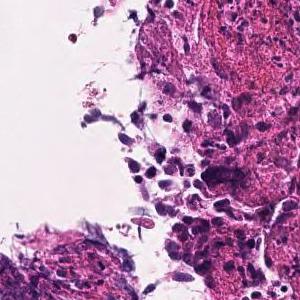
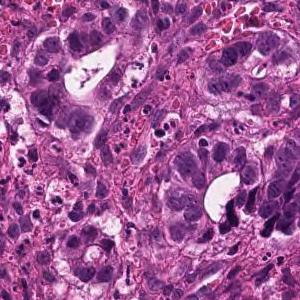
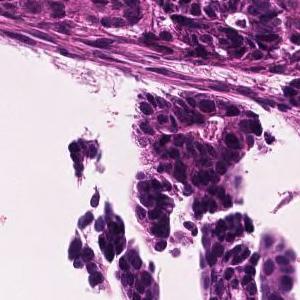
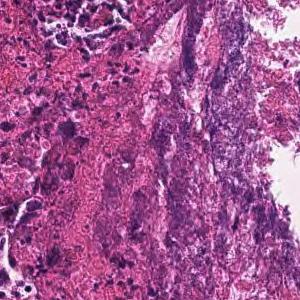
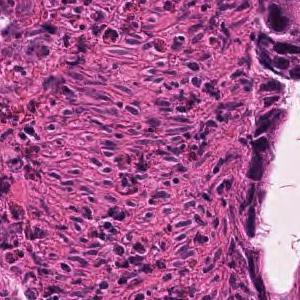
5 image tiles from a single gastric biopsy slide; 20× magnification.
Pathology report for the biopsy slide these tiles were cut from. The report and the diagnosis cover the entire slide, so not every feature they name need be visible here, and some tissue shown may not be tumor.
In the superficial epithelium, tumor tissue that invades by forming medium-sized to small, irregular ducts is observed. moderately differentiated tubular adenocarcinoma.
